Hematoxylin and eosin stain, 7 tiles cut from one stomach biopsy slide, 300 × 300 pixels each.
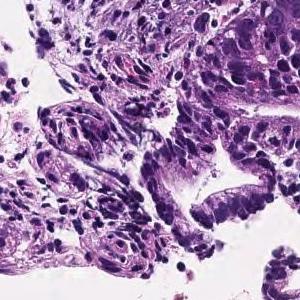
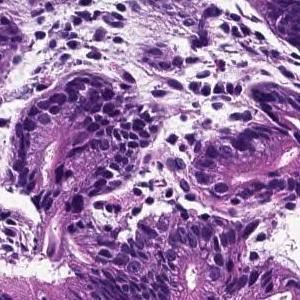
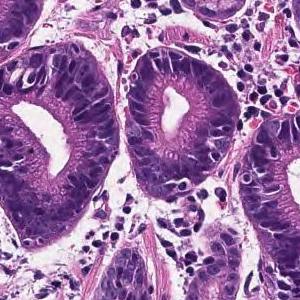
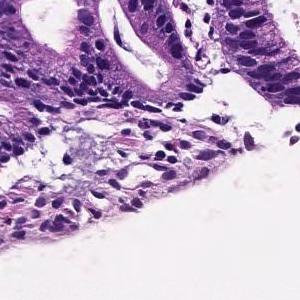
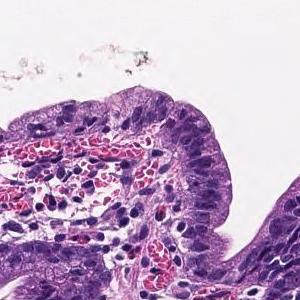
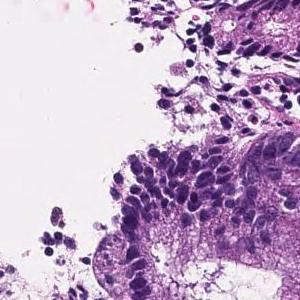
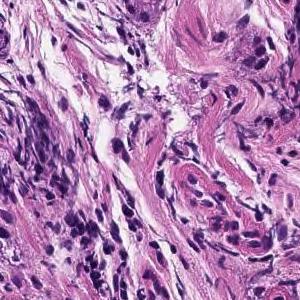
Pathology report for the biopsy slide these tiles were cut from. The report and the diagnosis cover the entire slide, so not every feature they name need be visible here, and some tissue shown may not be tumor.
From the superficial epithelium to the muscularis mucosae, tumor tissue consisting of medium-sized and irregular glandular ducts infiltrating is observed. Well differentiated tubular adenocarcinoma
